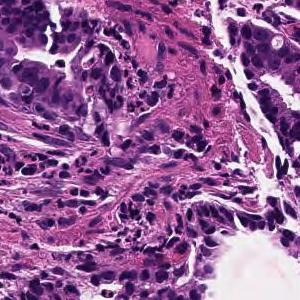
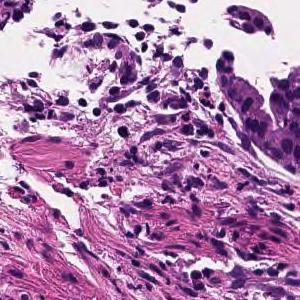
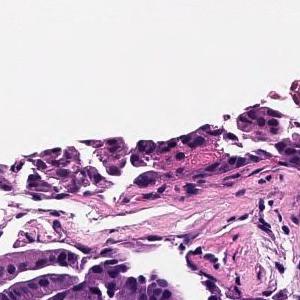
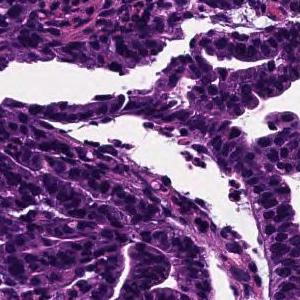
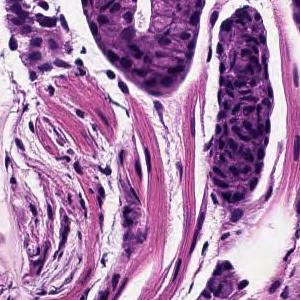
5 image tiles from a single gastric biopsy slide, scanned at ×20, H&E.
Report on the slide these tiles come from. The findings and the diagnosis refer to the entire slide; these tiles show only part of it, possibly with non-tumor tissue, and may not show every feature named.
On the superficial epithelium, tumor tissue that infiltrates by forming medium-sized papillary or small irregular ducts is observed. Papillary adenocarcinoma
